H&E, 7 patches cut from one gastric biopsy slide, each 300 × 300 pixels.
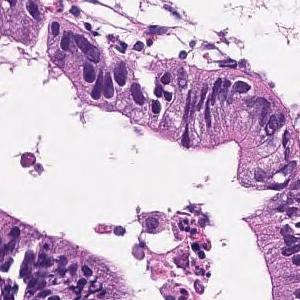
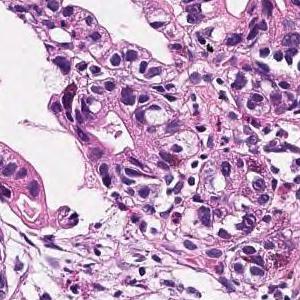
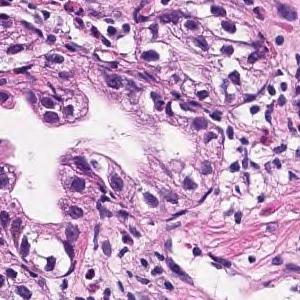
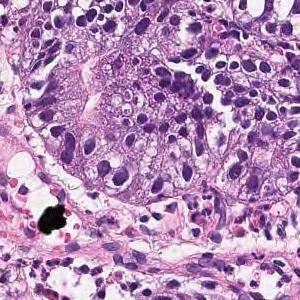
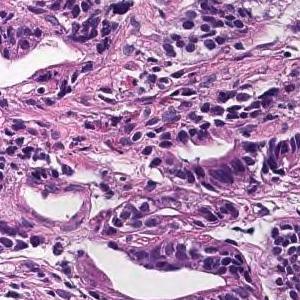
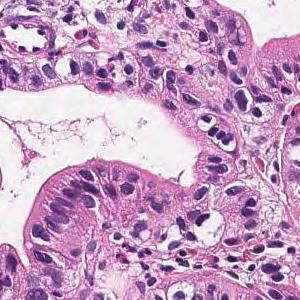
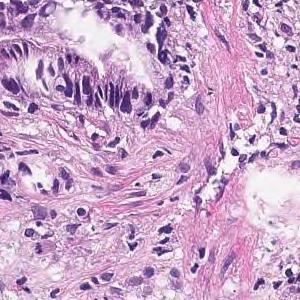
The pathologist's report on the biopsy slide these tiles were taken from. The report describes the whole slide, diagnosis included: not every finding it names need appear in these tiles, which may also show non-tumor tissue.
In the superficial epithelium, tumor tissue that invades by forming medium-sized to small, irregular ducts is observed. Moderately differentiated adenocarcinoma.
Histological subtype: Moderately differentiated tubular adenocarcinoma.
